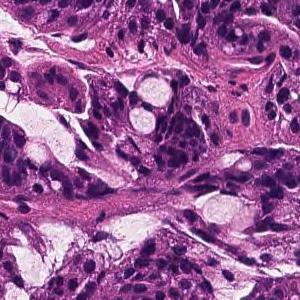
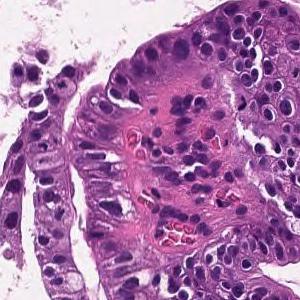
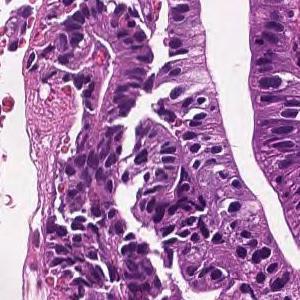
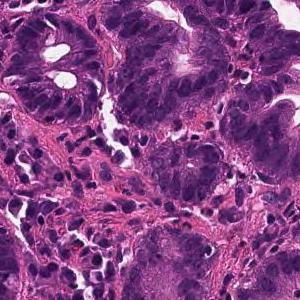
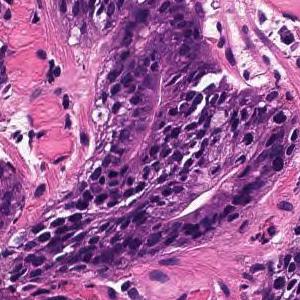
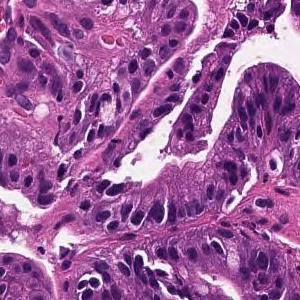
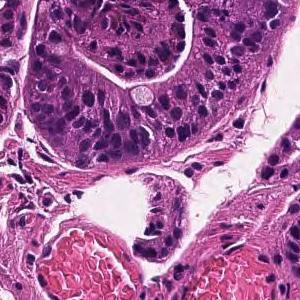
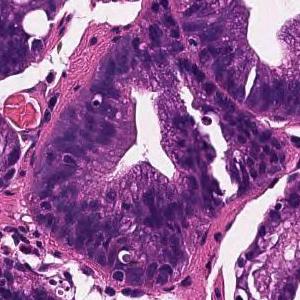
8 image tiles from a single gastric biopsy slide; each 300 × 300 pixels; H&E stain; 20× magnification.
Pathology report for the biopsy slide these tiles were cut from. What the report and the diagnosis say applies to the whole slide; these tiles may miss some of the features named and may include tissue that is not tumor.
On the superficial epithelium, tumor tissue that infiltrates by forming medium-sized papillary or small irregular ducts is observed. Papillary adenocarcinoma
